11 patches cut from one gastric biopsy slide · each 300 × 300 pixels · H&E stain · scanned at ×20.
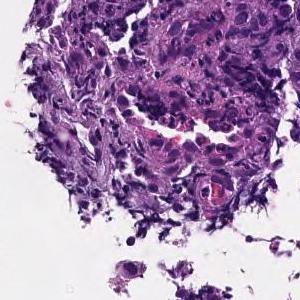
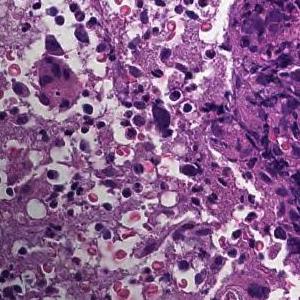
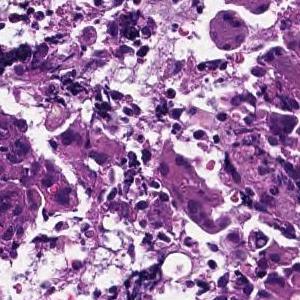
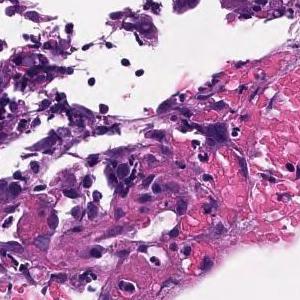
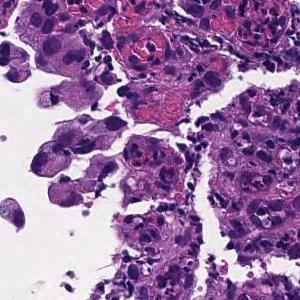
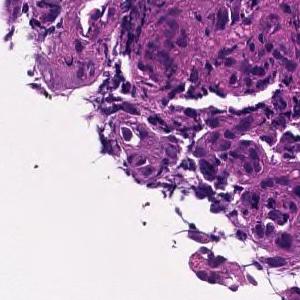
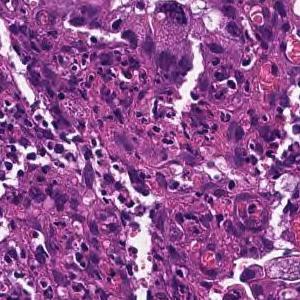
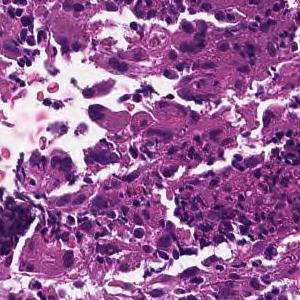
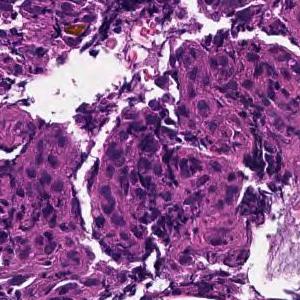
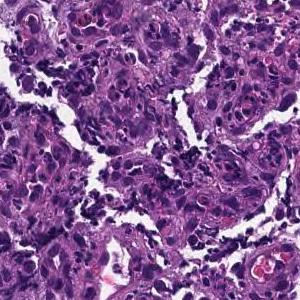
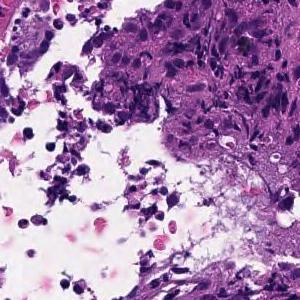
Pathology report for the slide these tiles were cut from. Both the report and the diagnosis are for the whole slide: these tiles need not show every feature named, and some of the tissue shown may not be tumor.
Tumor cells are medium to large, cuboidal, and have little tendency to differentiate. Poorly differentiated adenocarcinoma, solid-type  or moderately differentiated tubular adenocarcinoma
Labeled in the dataset as poorly differentiated adenocarcinoma, solid type (Japanese Classification of Gastric Carcinoma). The WHO 2019 equivalent is tubular adenocarcinoma, poorly differentiated.
